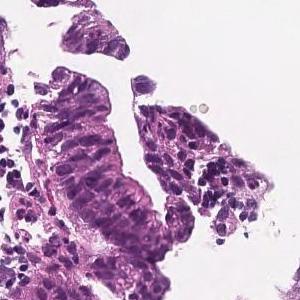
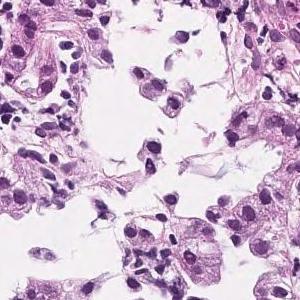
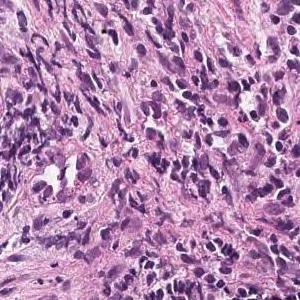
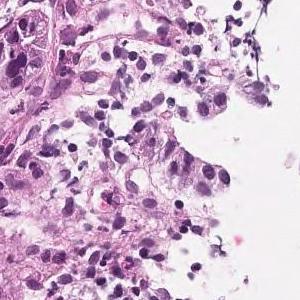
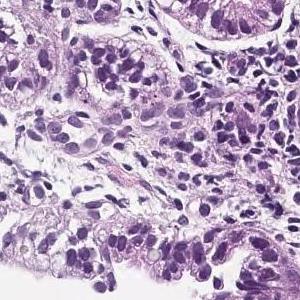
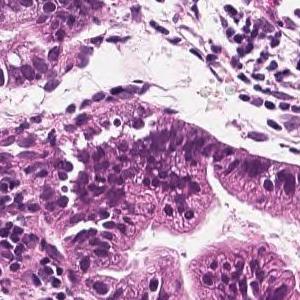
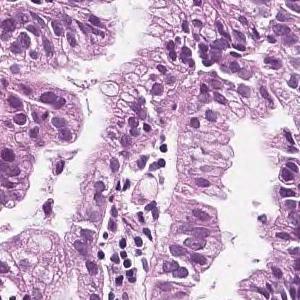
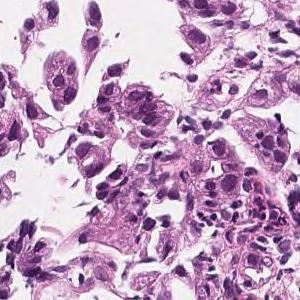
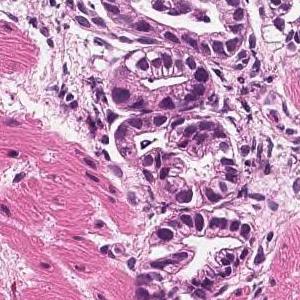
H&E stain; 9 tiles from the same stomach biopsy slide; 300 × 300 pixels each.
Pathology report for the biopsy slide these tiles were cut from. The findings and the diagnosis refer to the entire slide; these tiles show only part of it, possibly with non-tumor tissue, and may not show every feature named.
In the superficial epithelium, tumor tissue that invades by forming medium-sized to small, irregular ducts is observed. moderately differentiated tubular adenocarcinoma.
